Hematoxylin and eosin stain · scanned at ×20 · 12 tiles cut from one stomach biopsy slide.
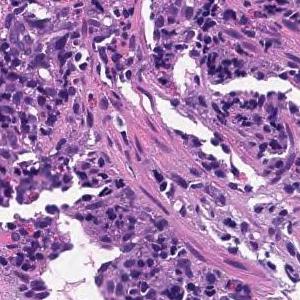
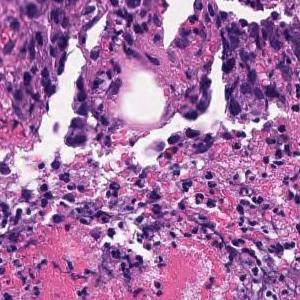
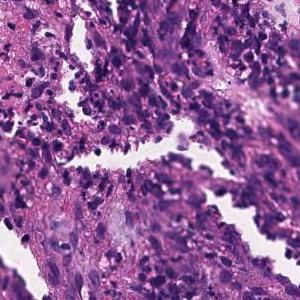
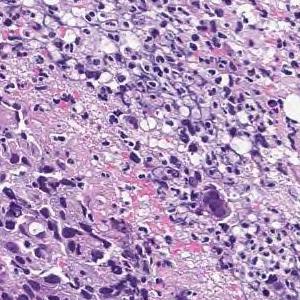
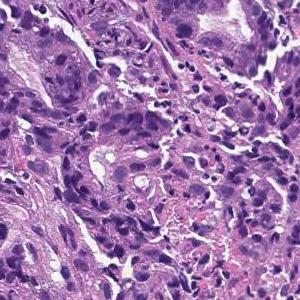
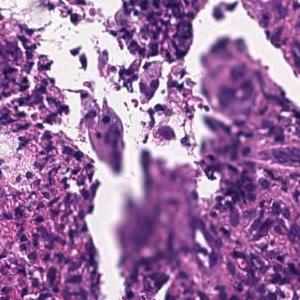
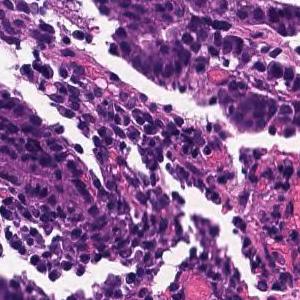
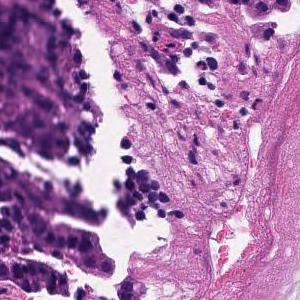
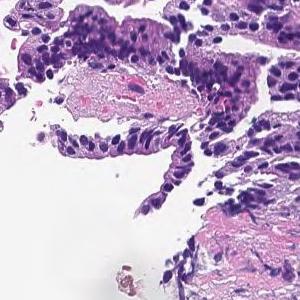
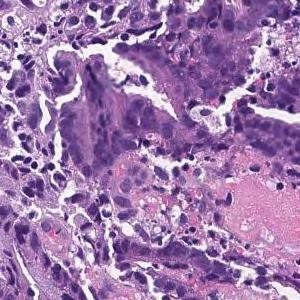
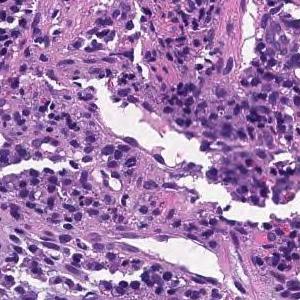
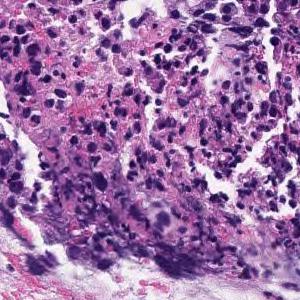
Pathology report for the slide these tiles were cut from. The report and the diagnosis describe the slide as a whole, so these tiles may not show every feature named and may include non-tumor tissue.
On the superficial epithelium, tumor tissue consisting of large irregular glandular ducts partially fused and infiltrated is observed. Well to moderately differentiated tubular adenocarcinoma (well differentiated tubular adenocarcinoma, moderately differentiated tubular adenocarcinoma)
Classified as well to moderately differentiated tubular adenocarcinoma.
